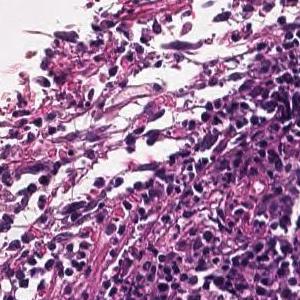
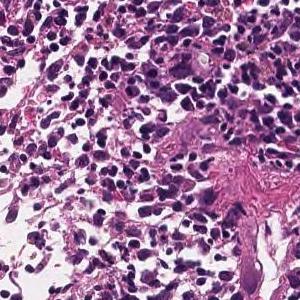
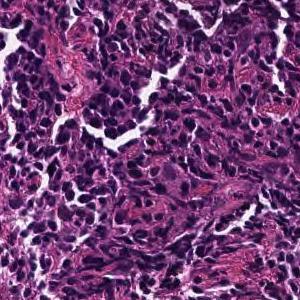
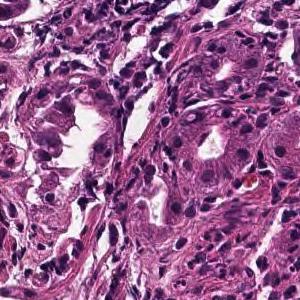
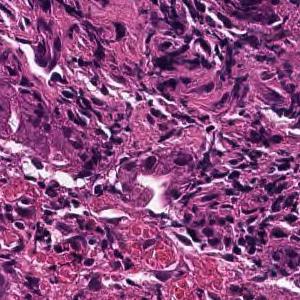
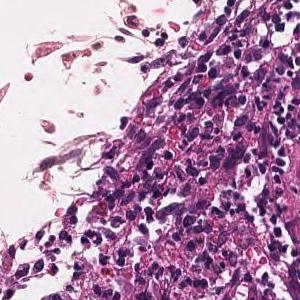
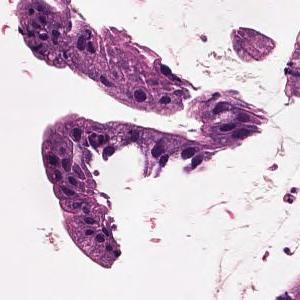
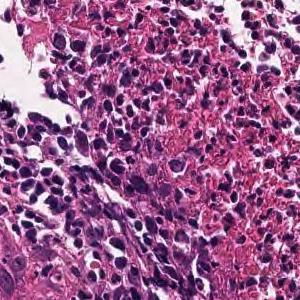
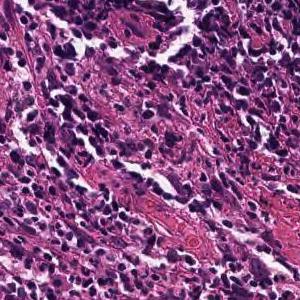
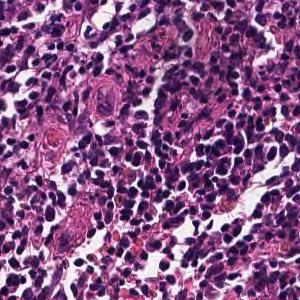
H&E stain, scanned at ×20, 10 tiles cut from one stomach biopsy slide, 300×300 px each.
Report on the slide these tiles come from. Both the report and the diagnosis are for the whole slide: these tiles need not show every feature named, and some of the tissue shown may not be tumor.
Tumor tissue consisting of cord-like or small, irregular glandular ducts fused and infiltrated is observed in the superficial epithelium. Poorly differentiated adenocarcinoma, non-solid type
The non-solid type named here is a Japanese Classification of Gastric Carcinoma category.
